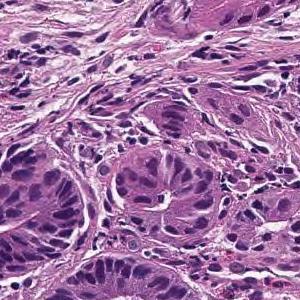
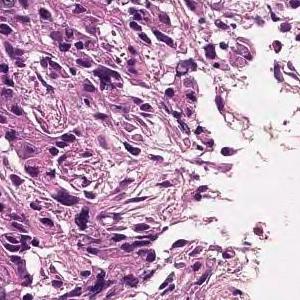
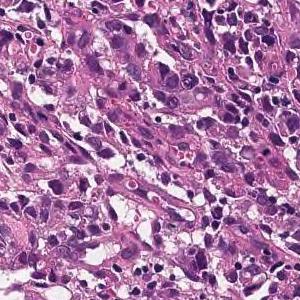
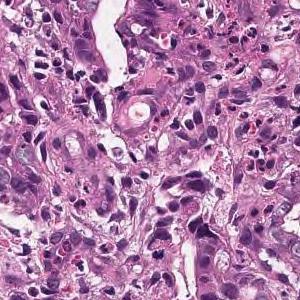
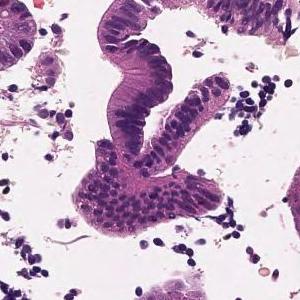
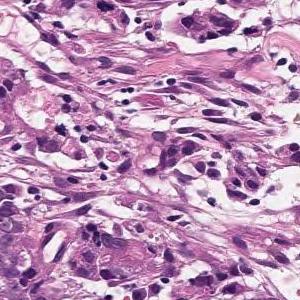
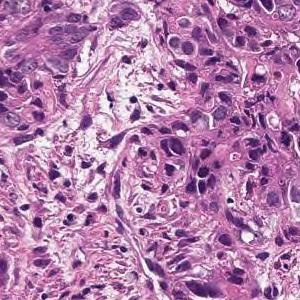
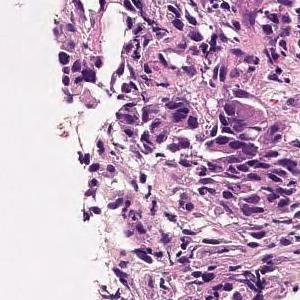
8 patches cut from one gastric biopsy slide, each 300 × 300 pixels, scanned at ×20.
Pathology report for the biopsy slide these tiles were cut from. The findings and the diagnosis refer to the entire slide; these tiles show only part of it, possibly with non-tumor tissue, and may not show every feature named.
Tumor tissue consisting of cord-like or small, irregular glandular ducts fused and infiltrated is observed in the superficial epithelium. Poorly differentiated adenocarcinoma, non-solid type
The non-solid type named here is a Japanese Classification of Gastric Carcinoma category.
